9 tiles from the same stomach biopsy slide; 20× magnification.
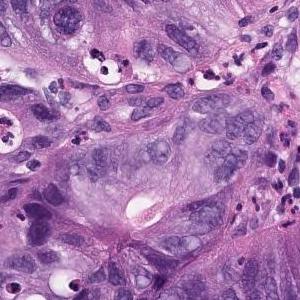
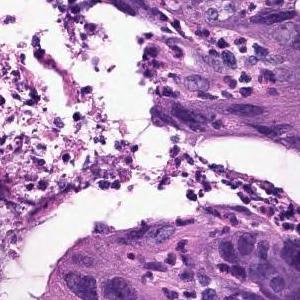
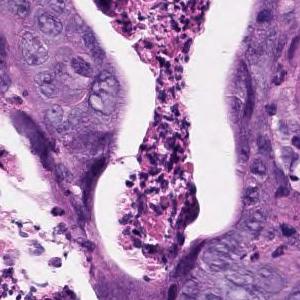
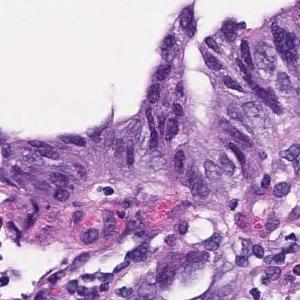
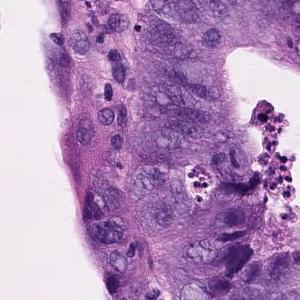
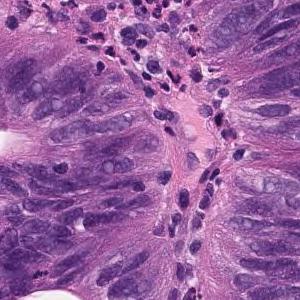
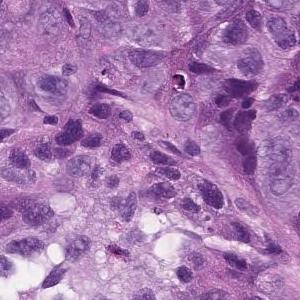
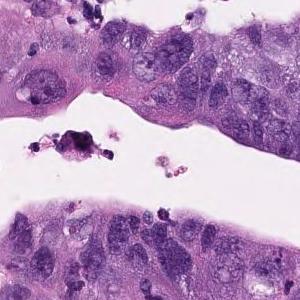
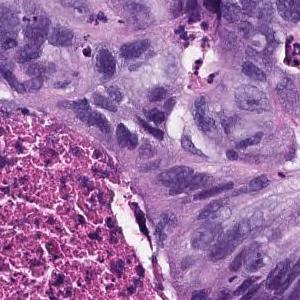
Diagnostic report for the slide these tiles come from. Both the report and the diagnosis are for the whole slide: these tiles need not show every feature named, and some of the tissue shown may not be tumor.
In the superficial epithelium, tumor tissue that invades by forming medium-sized to small, irregular ducts is observed. Moderately differentiated adenocarcinoma.
Classified as moderately differentiated tubular adenocarcinoma.
